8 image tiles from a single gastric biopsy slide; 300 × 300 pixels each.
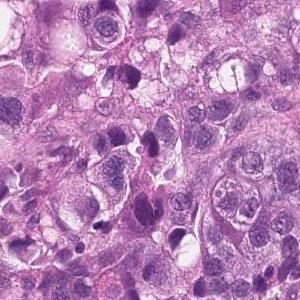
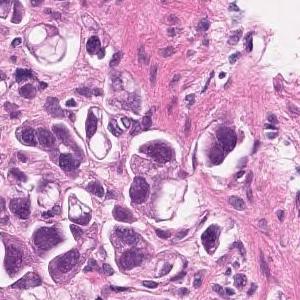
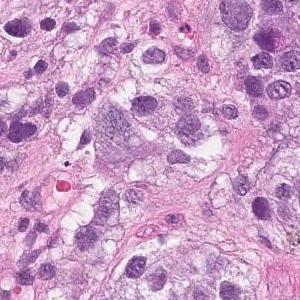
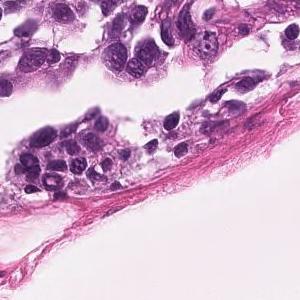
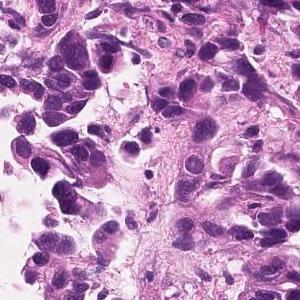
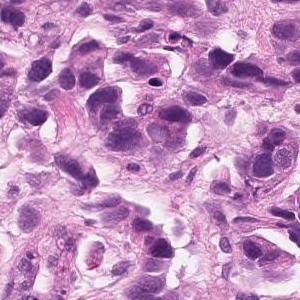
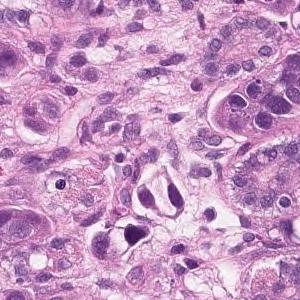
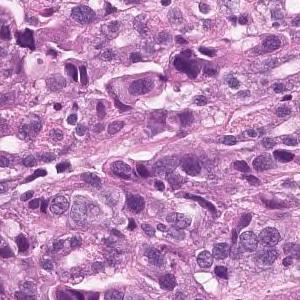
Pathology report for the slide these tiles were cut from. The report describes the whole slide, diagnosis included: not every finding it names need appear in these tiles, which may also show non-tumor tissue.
Tumor tissue that infiltrates the epithelium in an alveolar manner. Poorly differentiated adenocarcinoma, solid-type
Subtype: Poorly differentiated adenocarcinoma, solid type, a category of the Japanese Classification of Gastric Carcinoma; in the WHO 2019 classification it is tubular adenocarcinoma, poorly differentiated.
